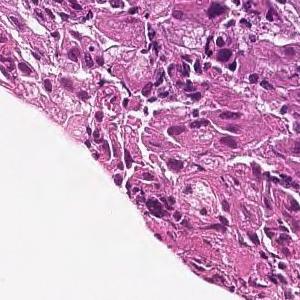
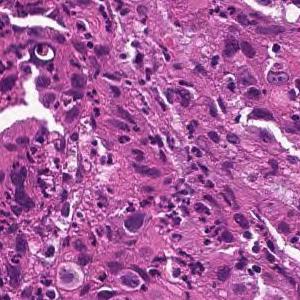
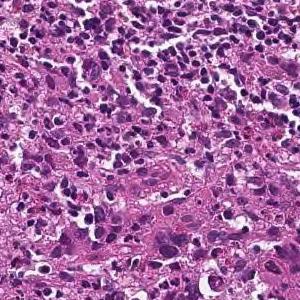
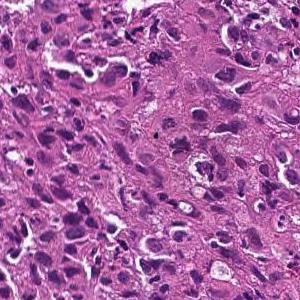
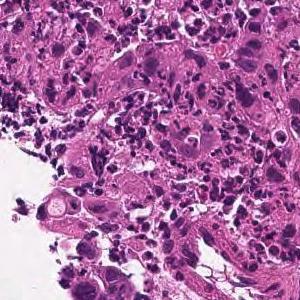
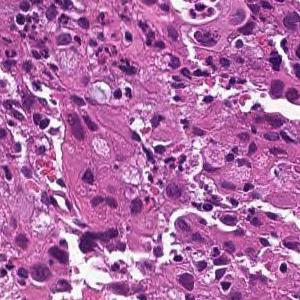
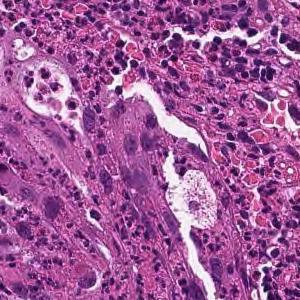
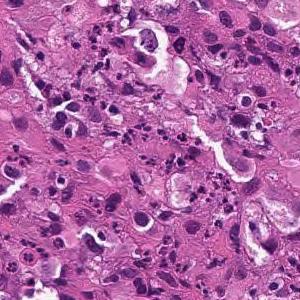
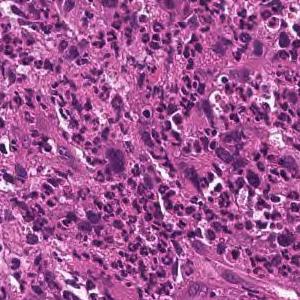
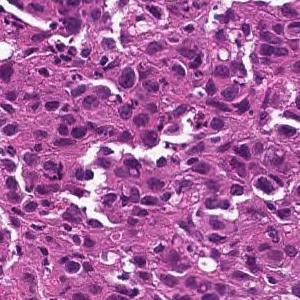
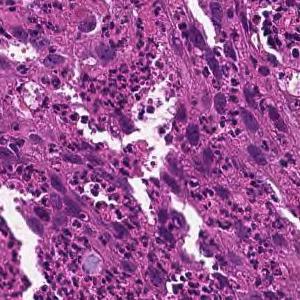
×20; hematoxylin and eosin stain; 11 patches cut from one gastric biopsy slide; each 300 × 300 pixels.
Pathology report for the slide these tiles were cut from. Both the report and the diagnosis are for the whole slide: these tiles need not show every feature named, and some of the tissue shown may not be tumor.
The superficial epithelium shows a large sheet-like shape, and some tumor tissue infiltrates with small irregular ducts. Poorly differentiated adenocarcinoma, solid-type
Subtype: Poorly differentiated adenocarcinoma, solid type, a category of the Japanese Classification of Gastric Carcinoma; in the WHO 2019 classification it is tubular adenocarcinoma, poorly differentiated.
